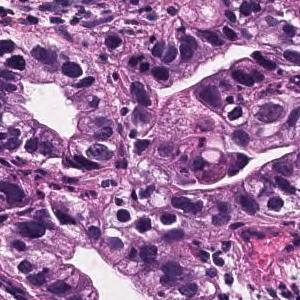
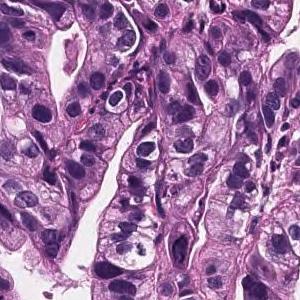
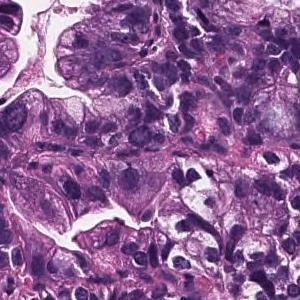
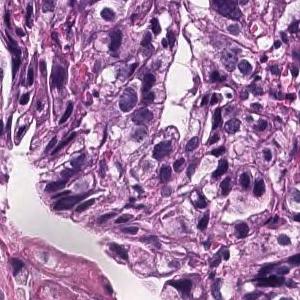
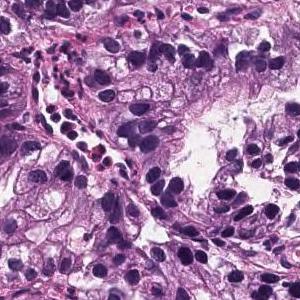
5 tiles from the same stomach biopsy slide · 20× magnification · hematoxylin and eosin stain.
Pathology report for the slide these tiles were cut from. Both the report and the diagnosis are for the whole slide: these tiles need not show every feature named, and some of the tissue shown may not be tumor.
Tumor cells are large, highly columnar, large club-shaped nuclei, and are associated with chromatin aggregation. Papillary adenocarcinoma.
